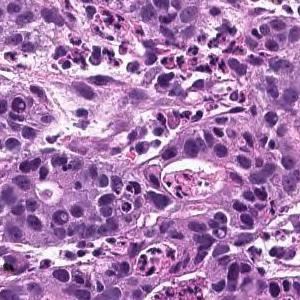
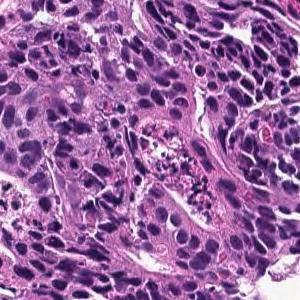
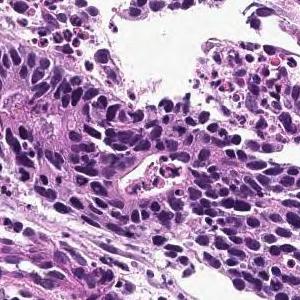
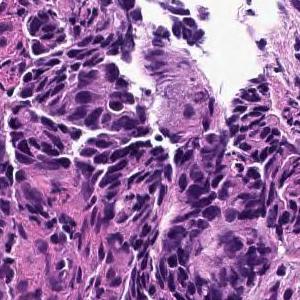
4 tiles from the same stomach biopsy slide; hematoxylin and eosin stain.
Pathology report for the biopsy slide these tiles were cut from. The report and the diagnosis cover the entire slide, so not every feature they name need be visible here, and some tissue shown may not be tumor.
In the superficial epithelium, tumor tissue that invades by forming medium-sized to small, irregular ducts is observed. moderately differentiated tubular adenocarcinoma.
